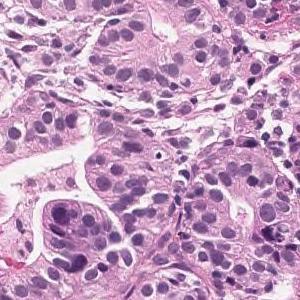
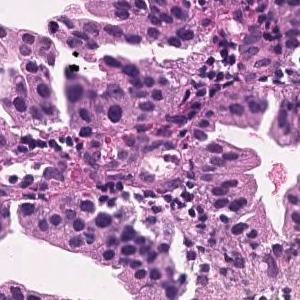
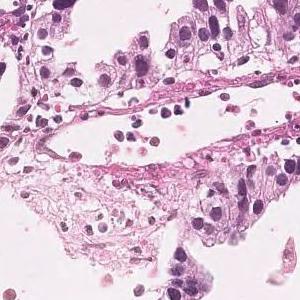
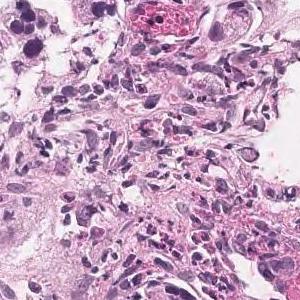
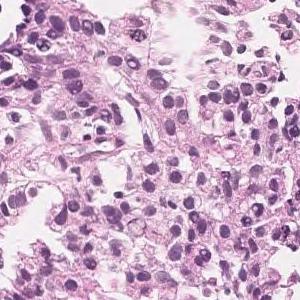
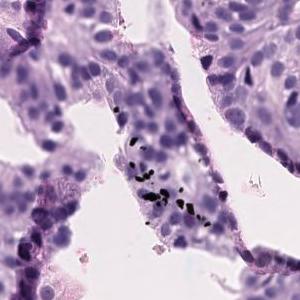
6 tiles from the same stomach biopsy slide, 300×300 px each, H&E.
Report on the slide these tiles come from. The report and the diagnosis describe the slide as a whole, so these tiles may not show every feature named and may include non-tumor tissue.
In the superficial epithelium, tumor tissue that invades by forming medium-sized to small, irregular ducts is observed. moderately differentiated tubular adenocarcinoma.
